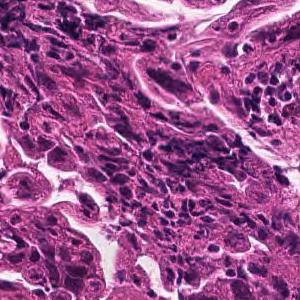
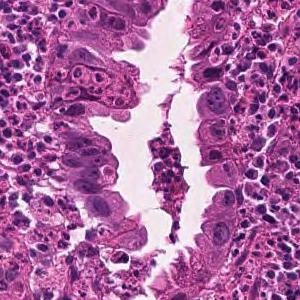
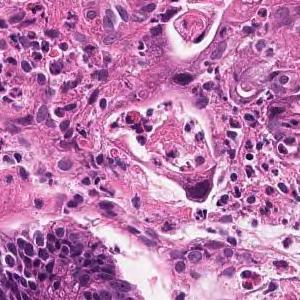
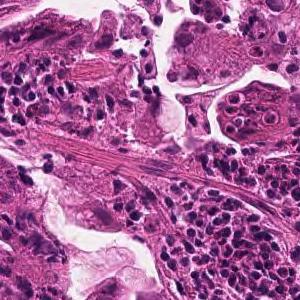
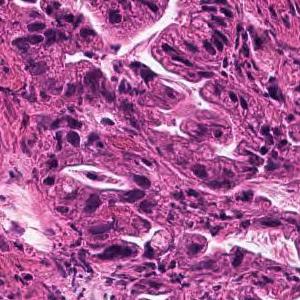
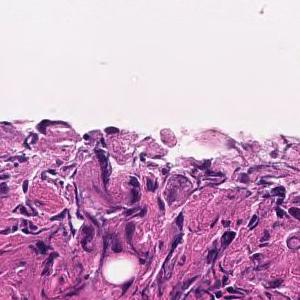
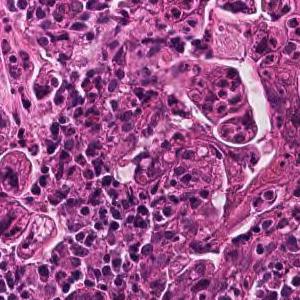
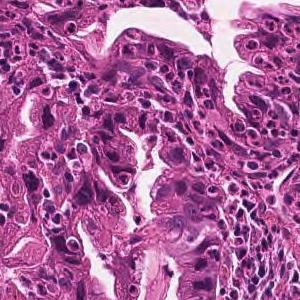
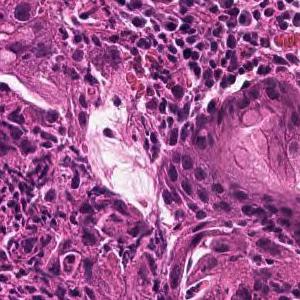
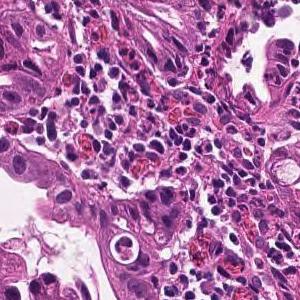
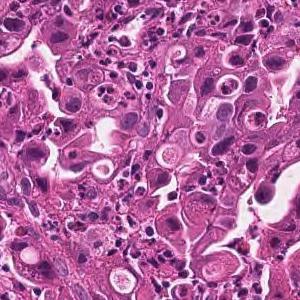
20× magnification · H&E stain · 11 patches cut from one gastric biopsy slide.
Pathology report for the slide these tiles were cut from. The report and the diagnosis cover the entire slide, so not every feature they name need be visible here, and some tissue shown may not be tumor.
Medium to small, irregular glandular ducts are formed in the superficial epithelium, and in some cases, the glandular ducts are fused to show solid alveolar lesions and infiltrating tumor tissue is observed. Moderately to poorly differentiated adenocarcinoma.
